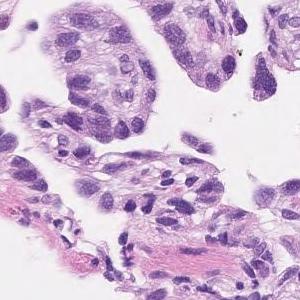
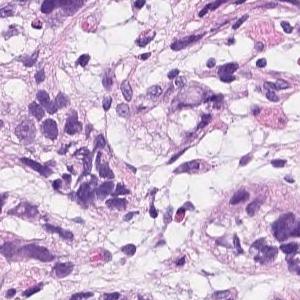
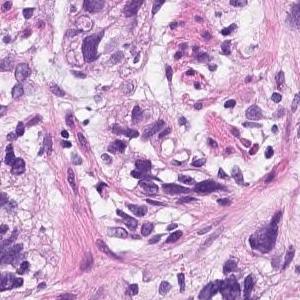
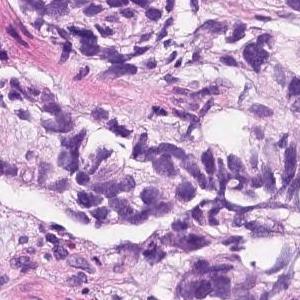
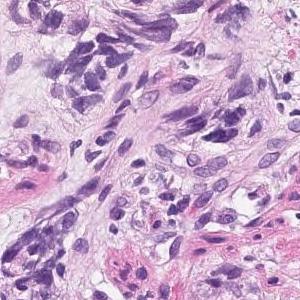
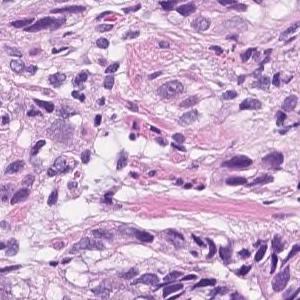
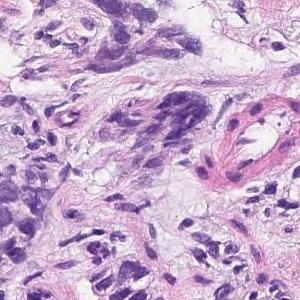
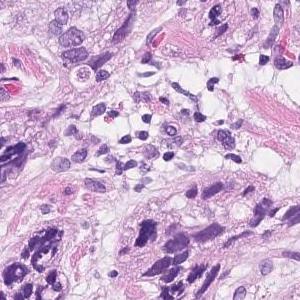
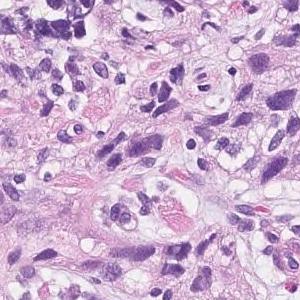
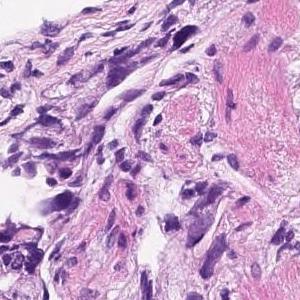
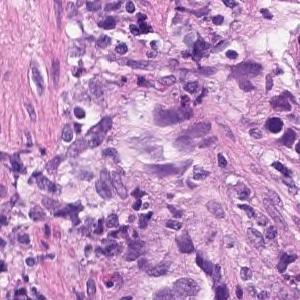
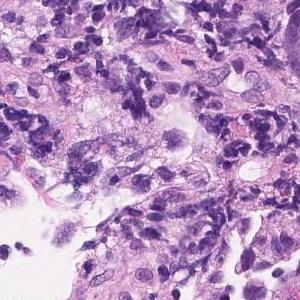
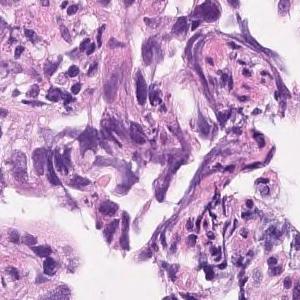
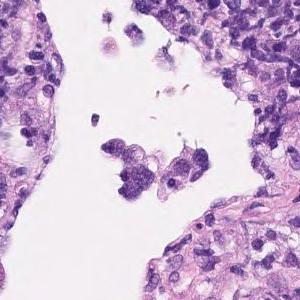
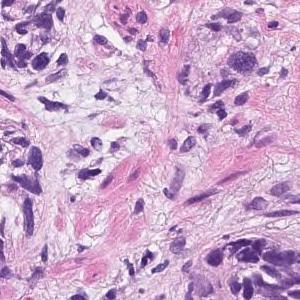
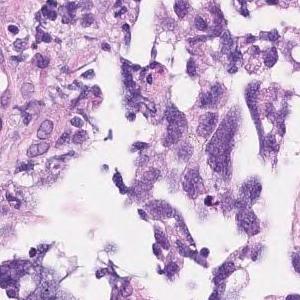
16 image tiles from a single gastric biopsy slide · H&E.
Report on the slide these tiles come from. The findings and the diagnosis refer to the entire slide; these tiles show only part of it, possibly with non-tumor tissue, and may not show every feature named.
In the superficial epithelium, tumor tissue that invades by forming medium-sized to small, irregular ducts is observed. Moderately differentiated adenocarcinoma.
Histologic type: Moderately differentiated tubular adenocarcinoma.
